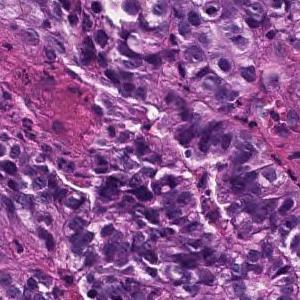
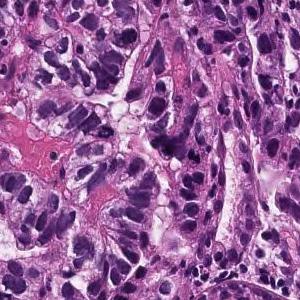
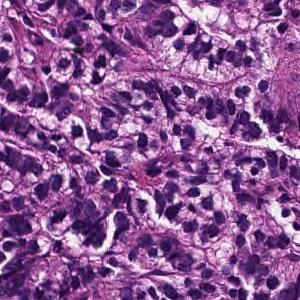
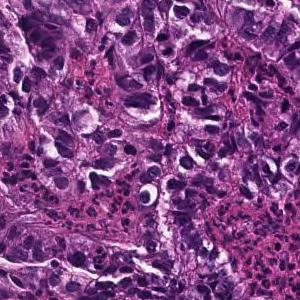
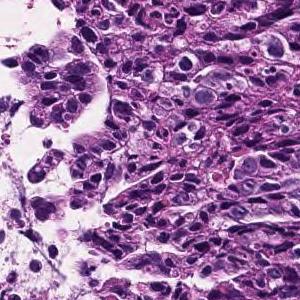
5 image tiles from a single gastric biopsy slide · 300 × 300 pixels each · H&E stain · ×20.
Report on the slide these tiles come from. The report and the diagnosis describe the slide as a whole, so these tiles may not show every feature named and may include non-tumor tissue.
In the superficial epithelium, tumor tissue that invades by forming medium-sized to small, irregular ducts is observed. moderately differentiated tubular adenocarcinoma.
